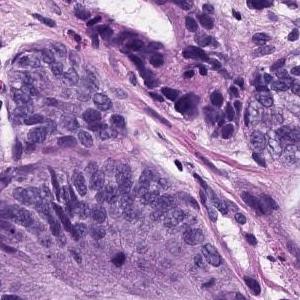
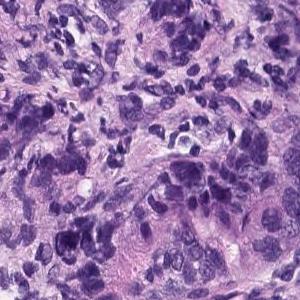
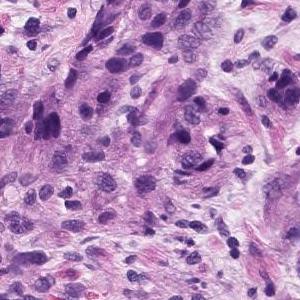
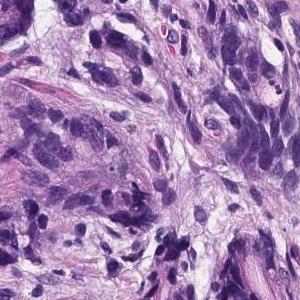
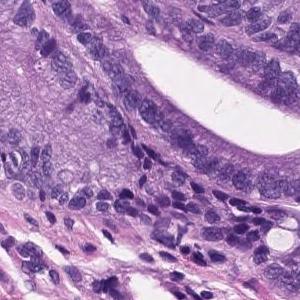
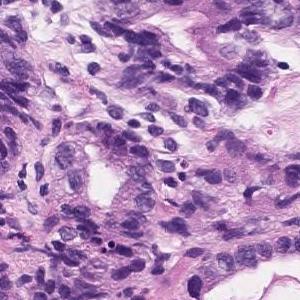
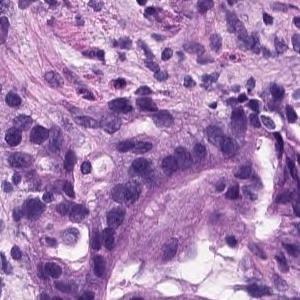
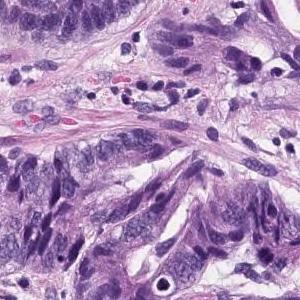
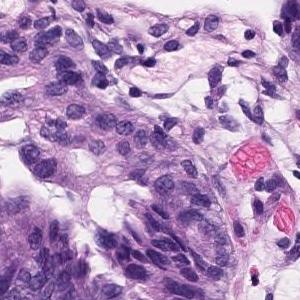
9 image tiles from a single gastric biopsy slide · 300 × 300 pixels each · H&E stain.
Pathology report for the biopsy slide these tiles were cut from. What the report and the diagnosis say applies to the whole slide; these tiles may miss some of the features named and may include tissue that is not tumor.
In the superficial epithelium, tumor tissue that invades by forming medium-sized to small, irregular ducts is observed. Moderately differentiated adenocarcinoma.
Tumor subtype: moderately differentiated tubular adenocarcinoma.
